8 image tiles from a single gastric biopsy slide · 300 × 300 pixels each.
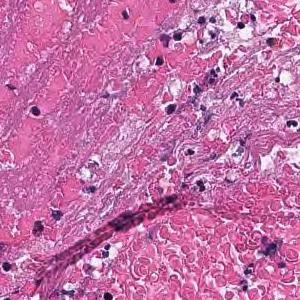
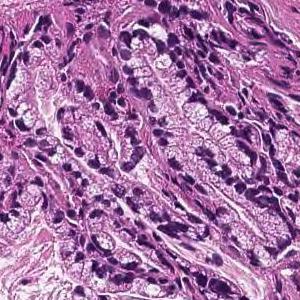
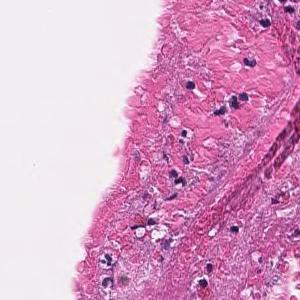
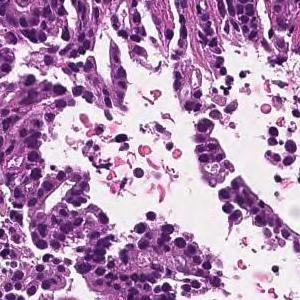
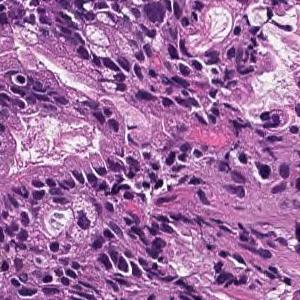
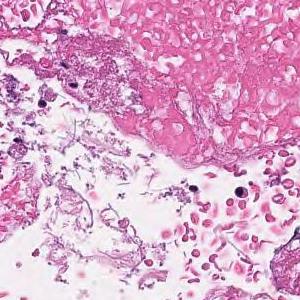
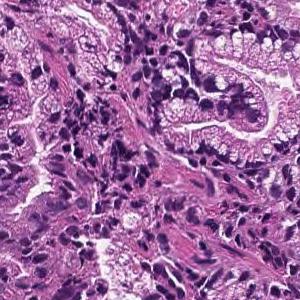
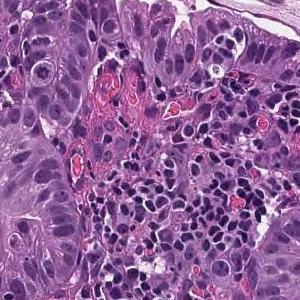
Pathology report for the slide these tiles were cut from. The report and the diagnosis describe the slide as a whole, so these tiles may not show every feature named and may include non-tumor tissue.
On the superficial epithelium, tumor tissue that infiltrates by forming medium-sized papillary or small irregular ducts is observed. Papillary adenocarcinoma
